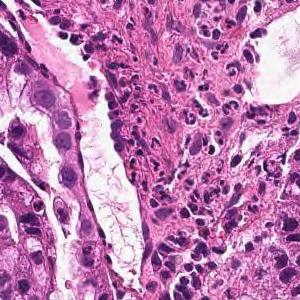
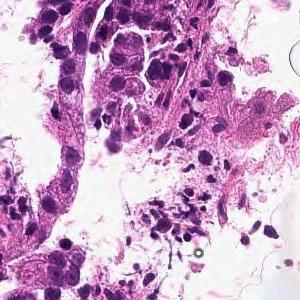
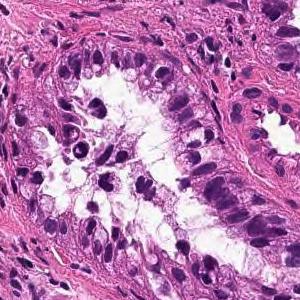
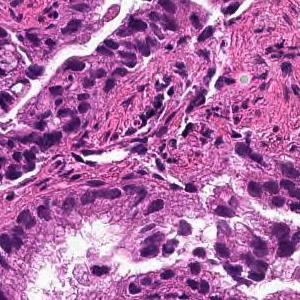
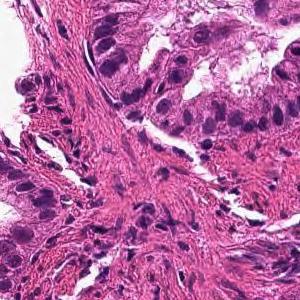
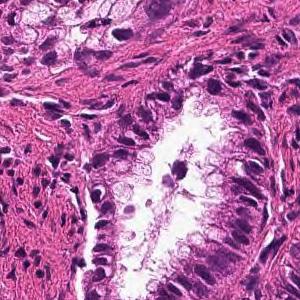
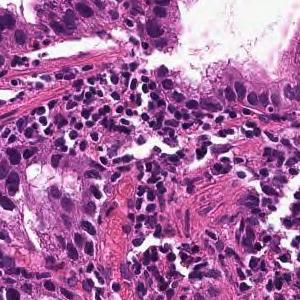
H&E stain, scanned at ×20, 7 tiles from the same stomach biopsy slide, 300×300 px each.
The pathologist's report on the biopsy slide these tiles were taken from. The report and the diagnosis describe the slide as a whole, so these tiles may not show every feature named and may include non-tumor tissue.
From the superficial epithelium to the muscularis mucosae, tumor tissue infiltrating by forming medium-sized irregular gland ducts is observed. Well differentiated tubular adenocarcinoma
